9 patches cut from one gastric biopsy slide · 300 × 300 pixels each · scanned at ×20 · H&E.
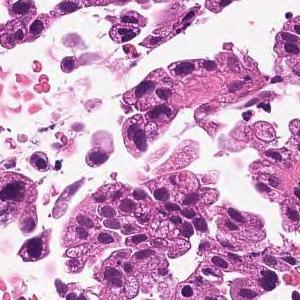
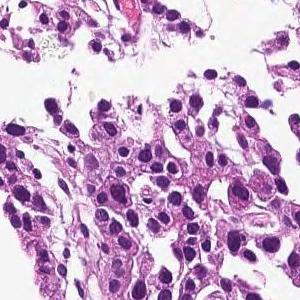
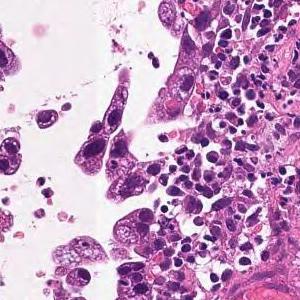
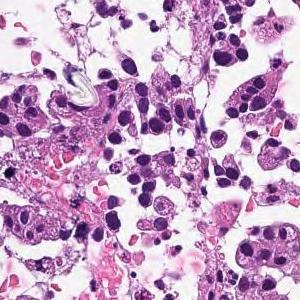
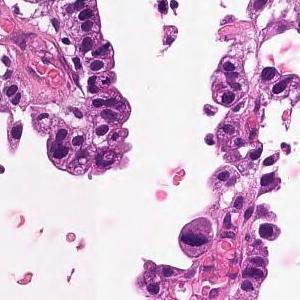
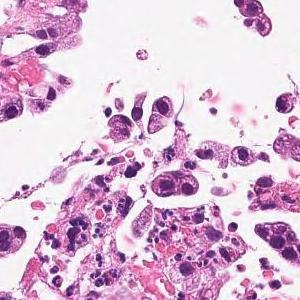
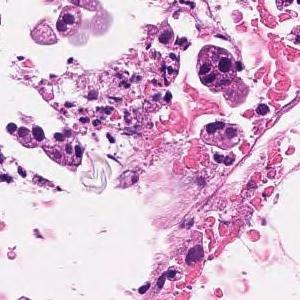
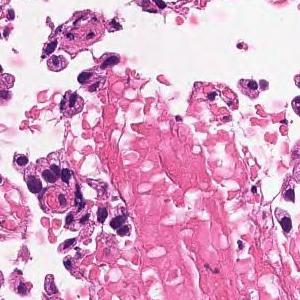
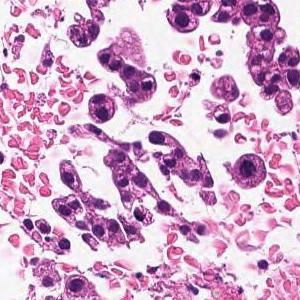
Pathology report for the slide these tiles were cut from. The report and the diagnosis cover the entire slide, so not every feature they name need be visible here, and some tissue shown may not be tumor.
In the superficial epithelium, tumor tissue that invades by forming medium-sized to small, irregular ducts is observed. moderately differentiated tubular adenocarcinoma.
